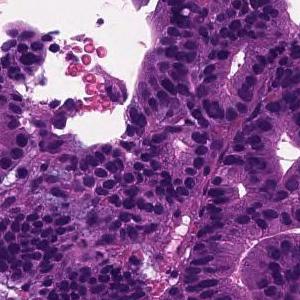
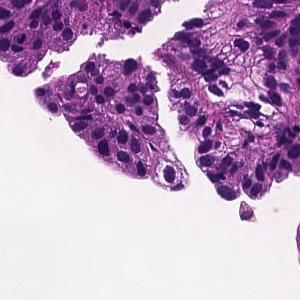
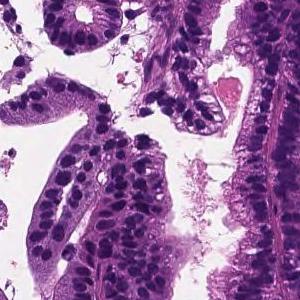
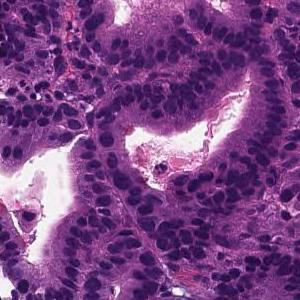
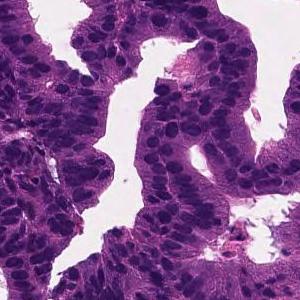
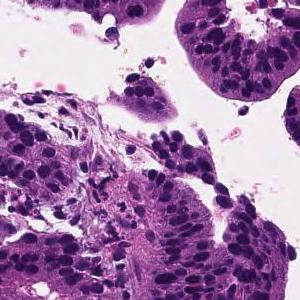
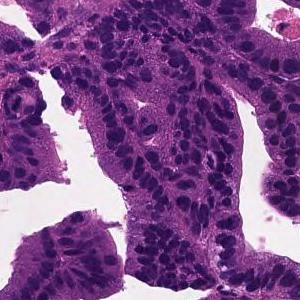
7 tiles cut from one stomach biopsy slide, hematoxylin and eosin stain, 20× magnification.
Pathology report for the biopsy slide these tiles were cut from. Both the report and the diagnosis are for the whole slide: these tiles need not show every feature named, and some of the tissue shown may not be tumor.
Tumor cells are large, highly columnar, large club-shaped nuclei, and are associated with chromatin aggregation. Papillary adenocarcinoma.
